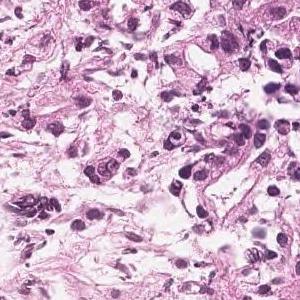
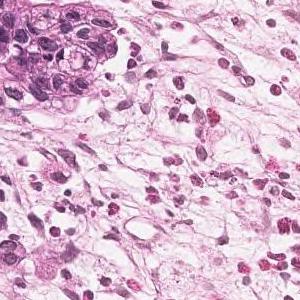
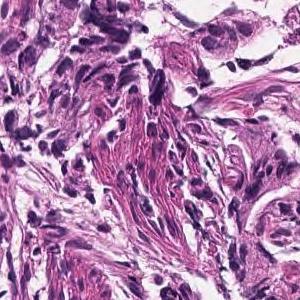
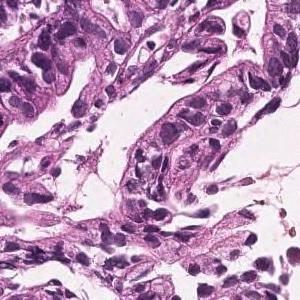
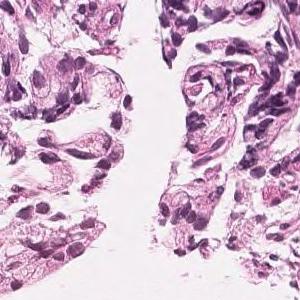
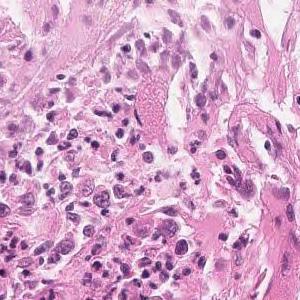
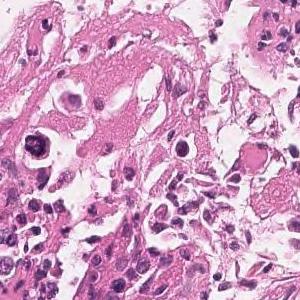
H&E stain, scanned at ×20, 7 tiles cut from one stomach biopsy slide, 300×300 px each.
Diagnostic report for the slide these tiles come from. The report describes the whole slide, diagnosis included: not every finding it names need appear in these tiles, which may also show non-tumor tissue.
In the superficial epithelium, medium to small irregular gland ducts are formed, and in some cases, the ducts are fused to show solid alveolar lesions and infiltrating tumor tissue is observed. Moderately to poorly differentiated adenocarcinoma
